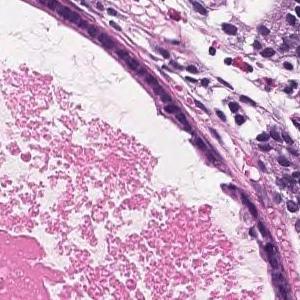
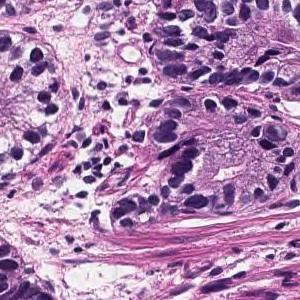
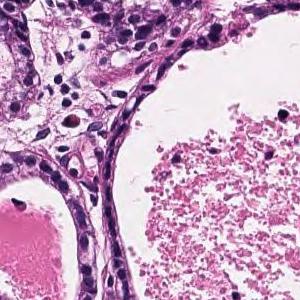
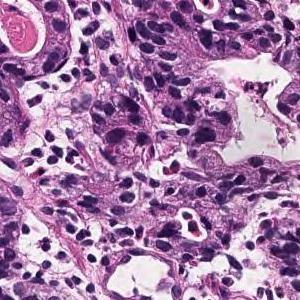
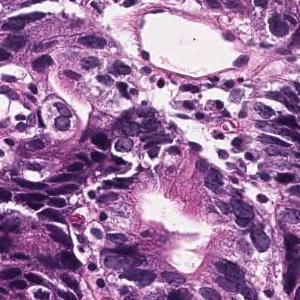
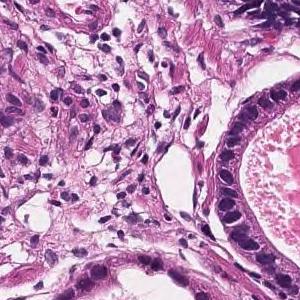
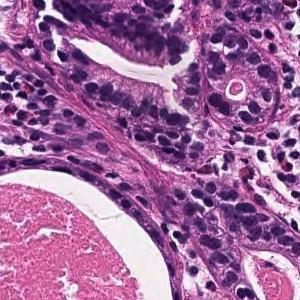
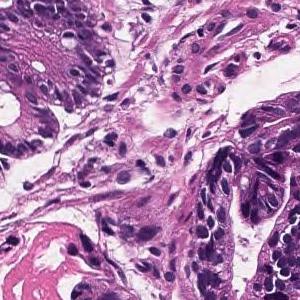
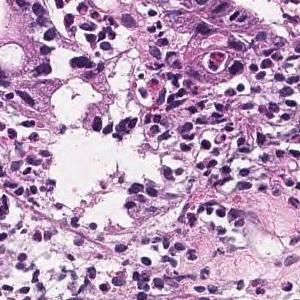
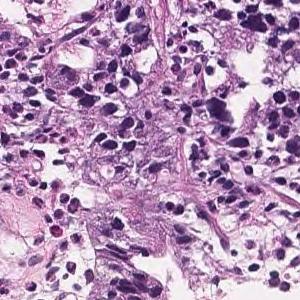
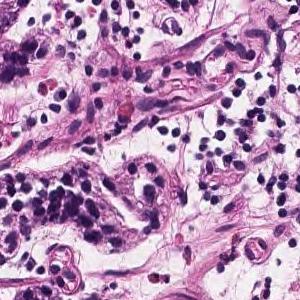
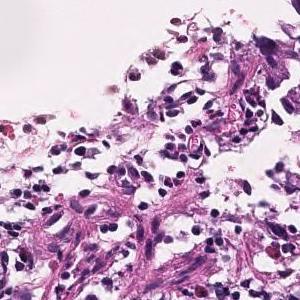
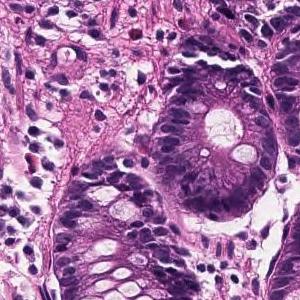
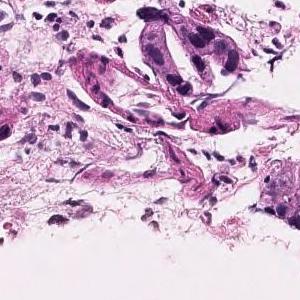
14 patches cut from one gastric biopsy slide; each 300 × 300 pixels; hematoxylin and eosin stain; ×20.
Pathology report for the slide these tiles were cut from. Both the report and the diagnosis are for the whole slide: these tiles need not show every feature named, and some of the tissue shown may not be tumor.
Tumor tissue consisting of medium-sized and irregular ducts is observed infiltrating in the superficial epithelium. Tumor cells are highly columnar, with nuclei aligned basolaterally and polarized. Well differentiated tubular adenocarcinoma.
